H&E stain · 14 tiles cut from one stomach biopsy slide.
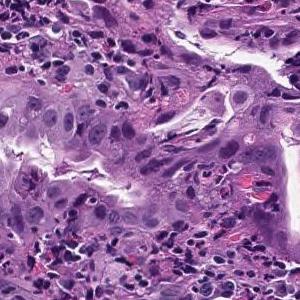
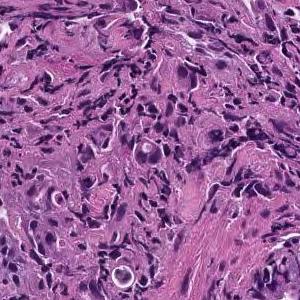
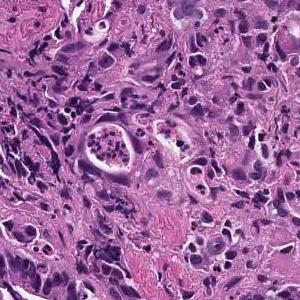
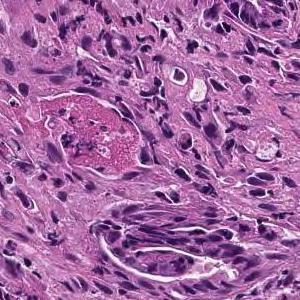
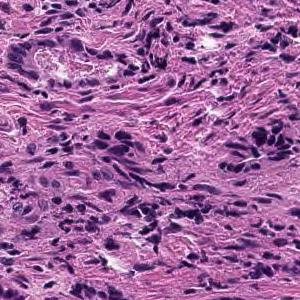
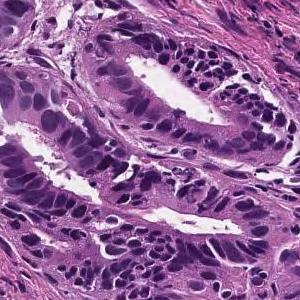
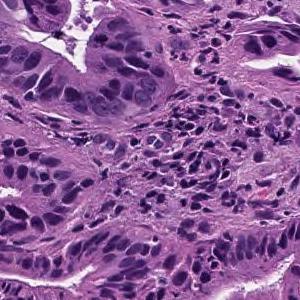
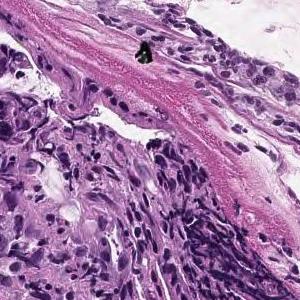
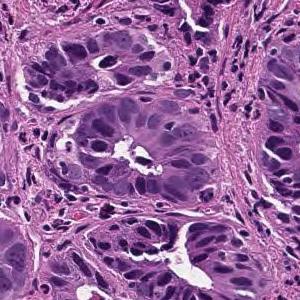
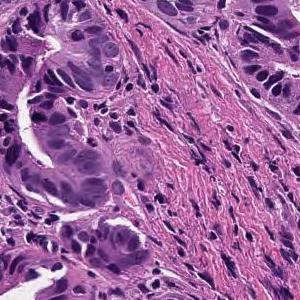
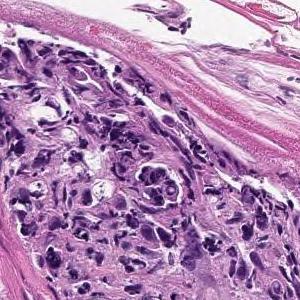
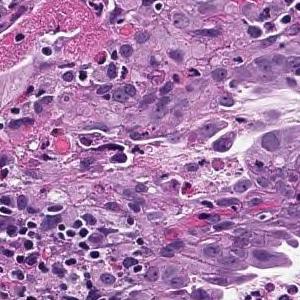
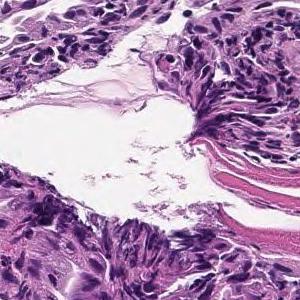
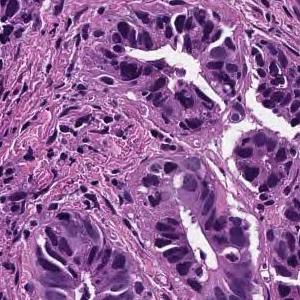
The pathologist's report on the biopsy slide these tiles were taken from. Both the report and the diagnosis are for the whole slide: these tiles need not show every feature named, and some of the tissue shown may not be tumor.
On the superficial epithelium, tumor tissue consisting of large, irregular glandular ducts partially fused and infiltrated is observed. Well to moderately differentiated tubular adenocarcinoma (well differentiated tubular adenocarcinoma, moderately differentiated tubular adenocarcinoma)
Tumor subtype: well to moderately differentiated tubular adenocarcinoma.
